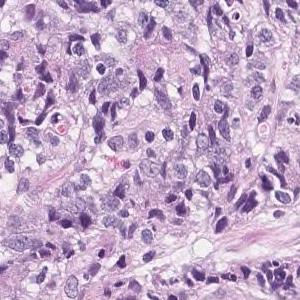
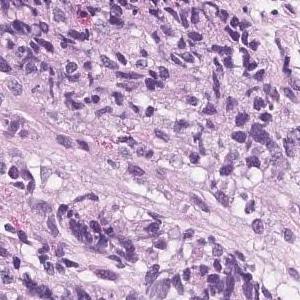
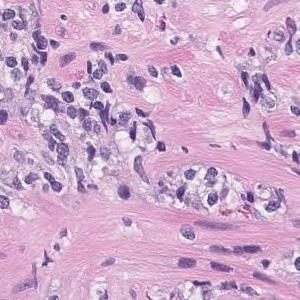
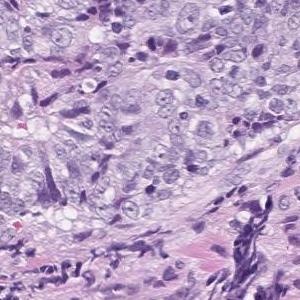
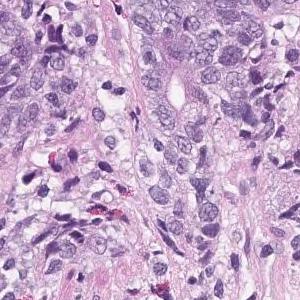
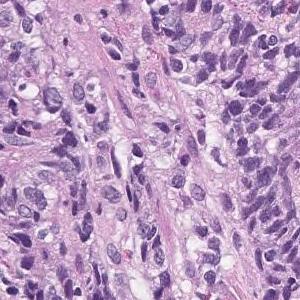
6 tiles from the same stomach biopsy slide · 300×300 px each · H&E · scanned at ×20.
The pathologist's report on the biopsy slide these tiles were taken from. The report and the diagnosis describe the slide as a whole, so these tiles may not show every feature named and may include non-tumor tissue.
Highly columnar epithelium with disordered nuclear localization proliferates showing fusion ductal construction. moderately differentiated tubular adenocarcinoma
